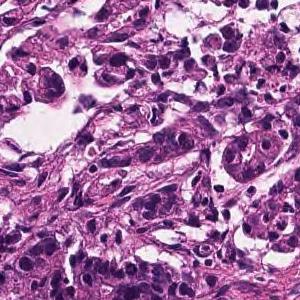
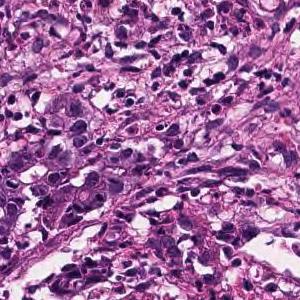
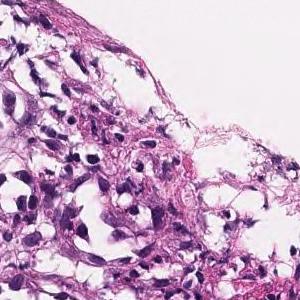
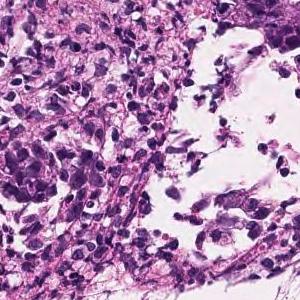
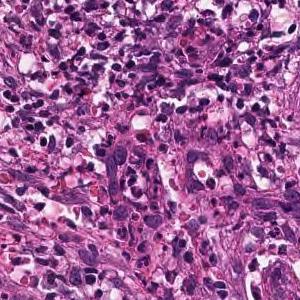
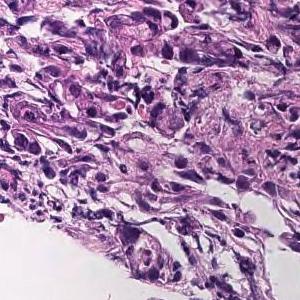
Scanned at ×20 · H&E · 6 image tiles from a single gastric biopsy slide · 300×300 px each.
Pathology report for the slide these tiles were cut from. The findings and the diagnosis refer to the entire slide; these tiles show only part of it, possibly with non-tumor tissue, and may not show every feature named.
In the superficial epithelium, medium to small, irregular gland ducts are formed, and in some cases, the gland ducts are fused to show solid alveolar lesions and infiltrating tumor tissue is observed. Moderately to poorly differentiated adenocarcinoma.
